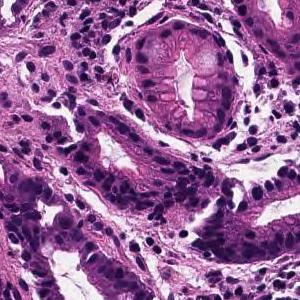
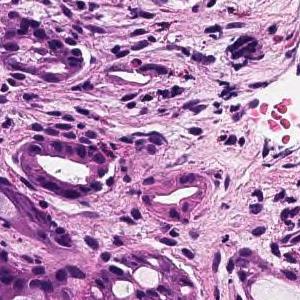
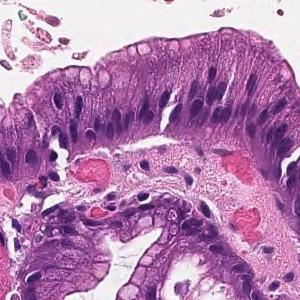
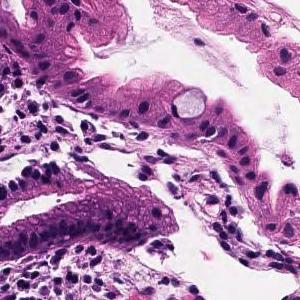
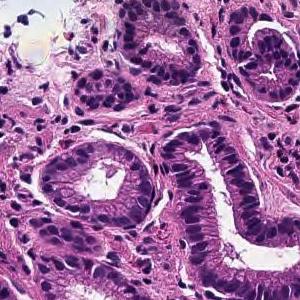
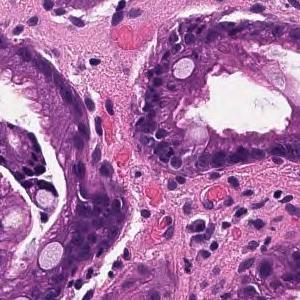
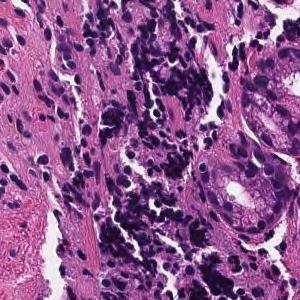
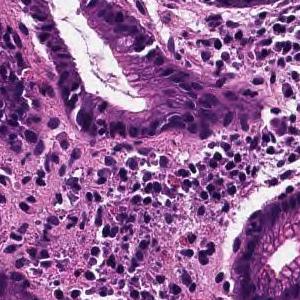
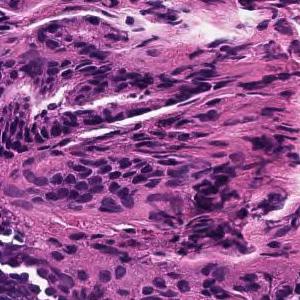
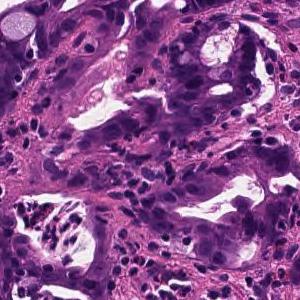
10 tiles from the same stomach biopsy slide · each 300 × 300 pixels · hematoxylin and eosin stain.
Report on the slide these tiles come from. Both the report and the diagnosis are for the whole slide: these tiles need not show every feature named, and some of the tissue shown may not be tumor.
From the superficial epithelium to the muscularis mucosae, tumor tissue consisting of medium-sized and irregular glandular ducts infiltrating is observed. Well differentiated tubular adenocarcinoma
